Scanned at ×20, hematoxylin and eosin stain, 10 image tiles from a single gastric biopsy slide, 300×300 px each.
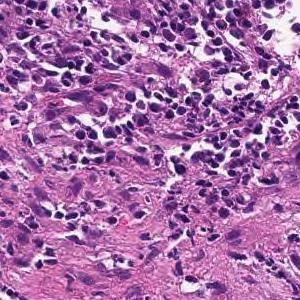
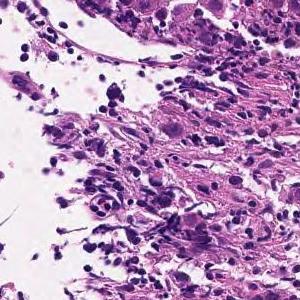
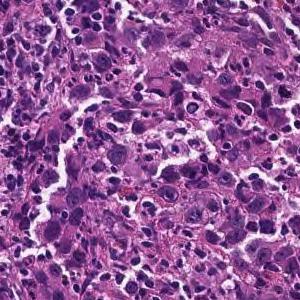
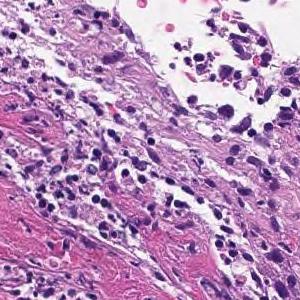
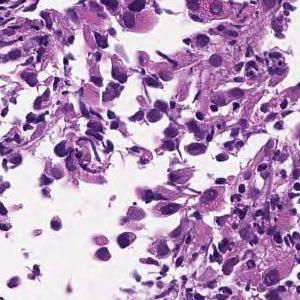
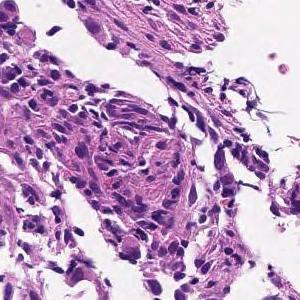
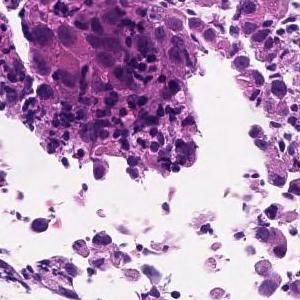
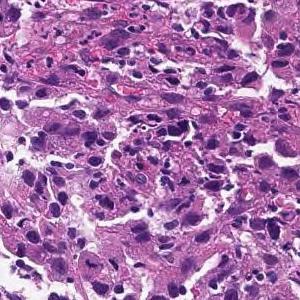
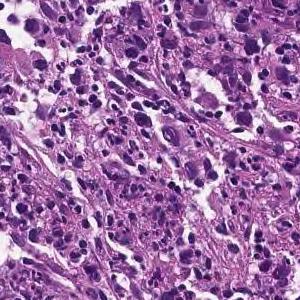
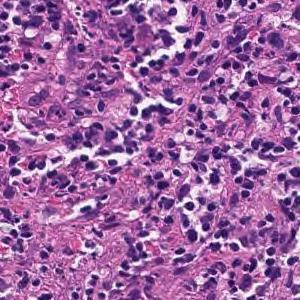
Report on the slide these tiles come from. The findings and the diagnosis refer to the entire slide; these tiles show only part of it, possibly with non-tumor tissue, and may not show every feature named.
The superficial epithelium shows a large sheet-like shape, and some tumor tissue infiltrates with small irregular ducts. Poorly differentiated adenocarcinoma, solid-type (poorly differentiated adenocarcinoma, solid type)
Tumor subtype: poorly differentiated adenocarcinoma, solid type, a category of the Japanese Classification of Gastric Carcinoma; in the WHO 2019 classification it is tubular adenocarcinoma, poorly differentiated.
